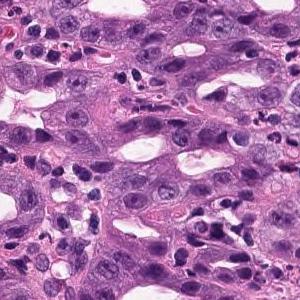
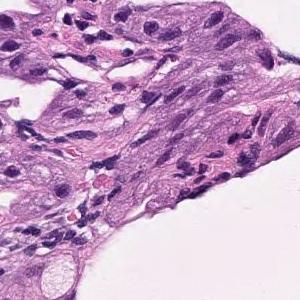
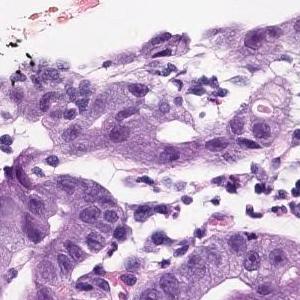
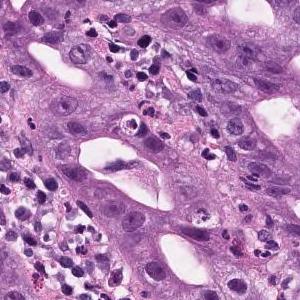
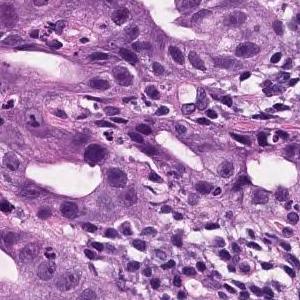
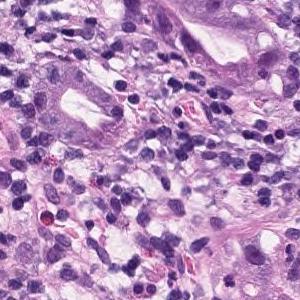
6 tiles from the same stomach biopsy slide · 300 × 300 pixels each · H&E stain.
Diagnostic report for the slide these tiles come from. The report and the diagnosis describe the slide as a whole, so these tiles may not show every feature named and may include non-tumor tissue.
In the superficial epithelium, tumor tissue that invades by forming medium-sized to small, irregular ducts is observed. Well to moderately differentiated adenocarcinoma (well differentiated tubular adenocarcinoma, moderately differentiated tubular adenocarcinoma).
Tumor subtype: well to moderately differentiated tubular adenocarcinoma.
